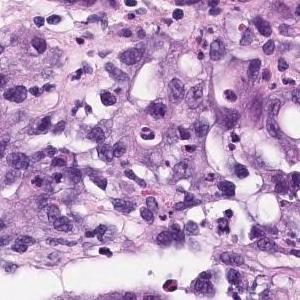
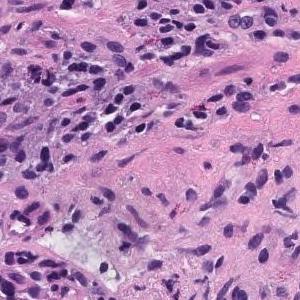
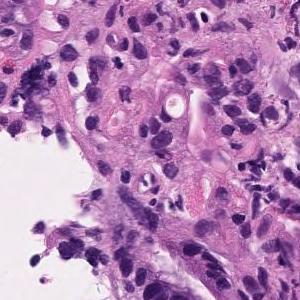
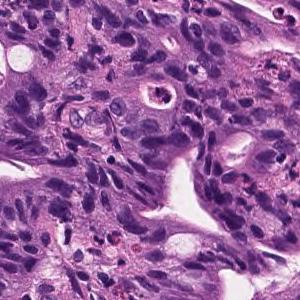
4 tiles cut from one stomach biopsy slide; H&E.
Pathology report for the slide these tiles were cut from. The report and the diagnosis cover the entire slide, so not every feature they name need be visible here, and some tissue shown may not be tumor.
moderately differentiated tubular adenocarcinoma, Poorly differentiated adenocarcinoma
The dataset labels this slide poorly differentiated adenocarcinoma, solid type. This name comes from the Japanese Classification of Gastric Carcinoma; the WHO 2019 classification calls it tubular adenocarcinoma, poorly differentiated.
